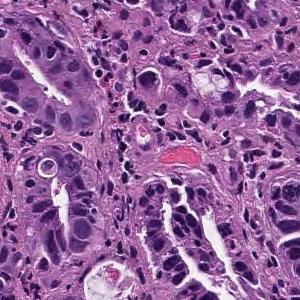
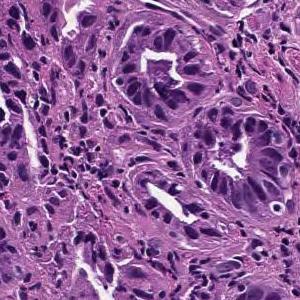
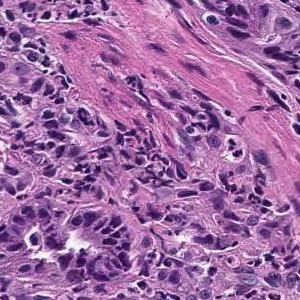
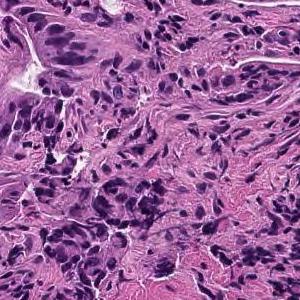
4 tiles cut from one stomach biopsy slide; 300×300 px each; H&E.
Pathology report for the slide these tiles were cut from. The report and the diagnosis cover the entire slide, so not every feature they name need be visible here, and some tissue shown may not be tumor.
On the superficial epithelium, tumor tissue consisting of large, irregular glandular ducts partially fused and infiltrated is observed. Well to moderately differentiated tubular adenocarcinoma (well differentiated tubular adenocarcinoma, moderately differentiated tubular adenocarcinoma)
Tumor subtype: well to moderately differentiated tubular adenocarcinoma.
